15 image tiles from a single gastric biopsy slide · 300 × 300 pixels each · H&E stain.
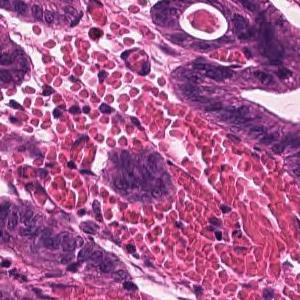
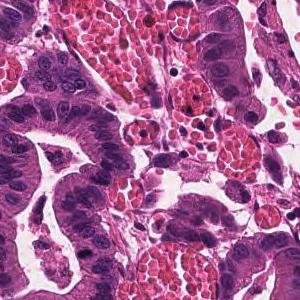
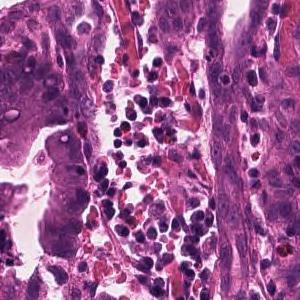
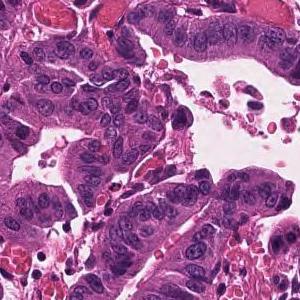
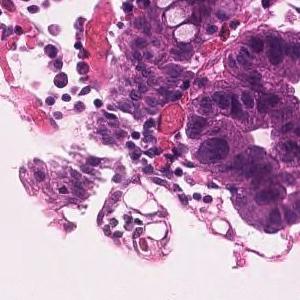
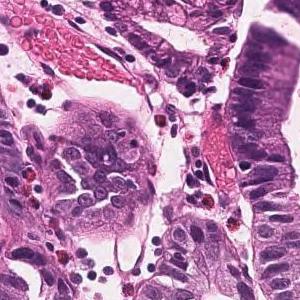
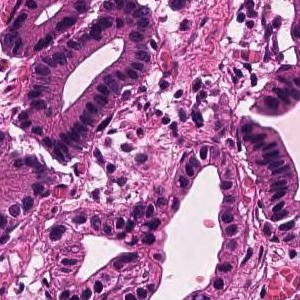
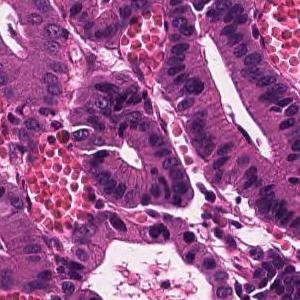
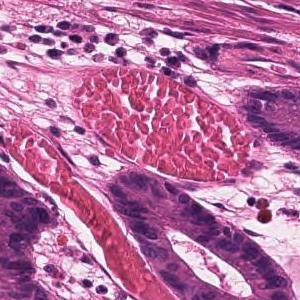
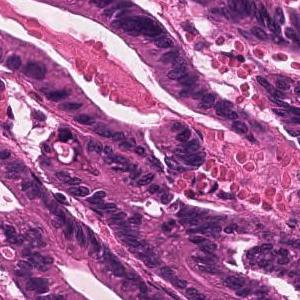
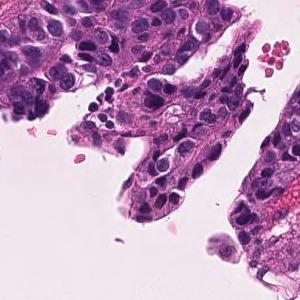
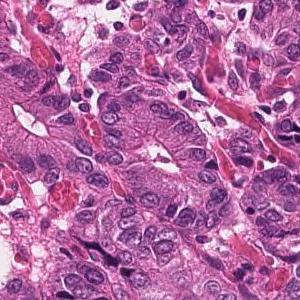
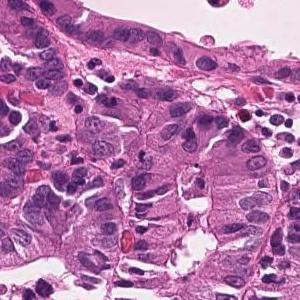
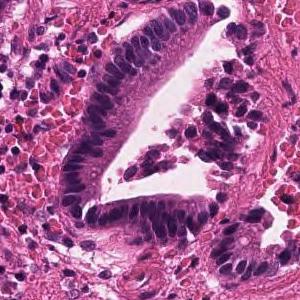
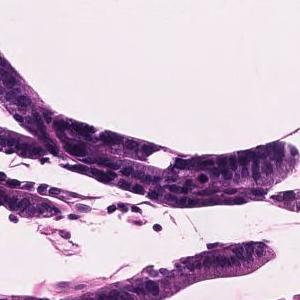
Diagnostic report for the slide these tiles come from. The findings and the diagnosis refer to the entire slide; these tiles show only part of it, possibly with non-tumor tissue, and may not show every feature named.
Infiltrating tumor tissue with medium-sized, irregular ductal structure or large papillary appearance is observed. Well differentiated tubular adenocarcinoma
